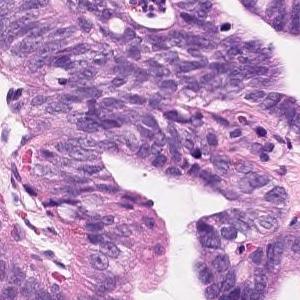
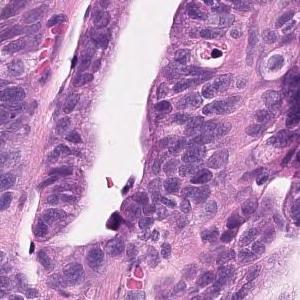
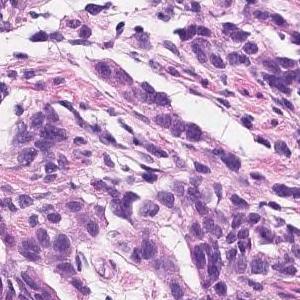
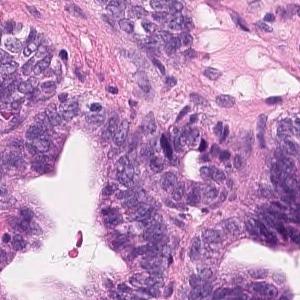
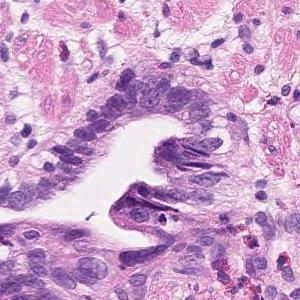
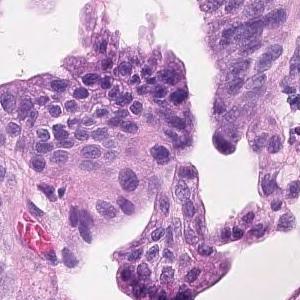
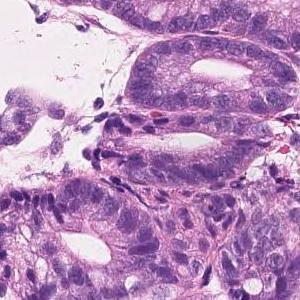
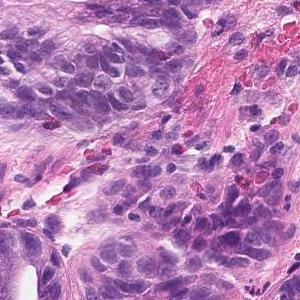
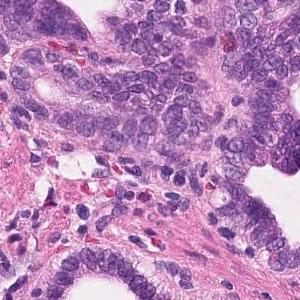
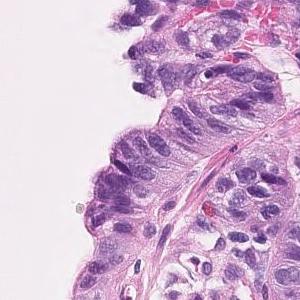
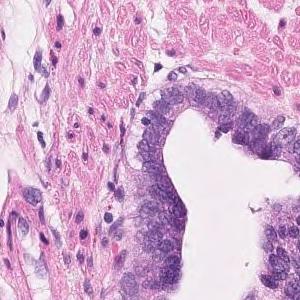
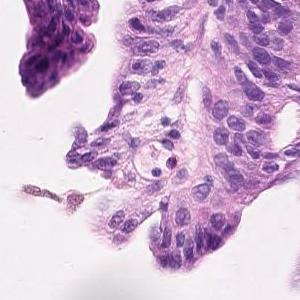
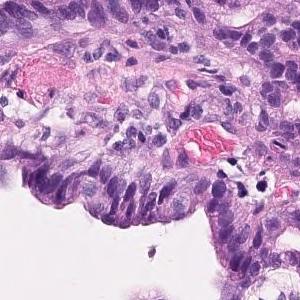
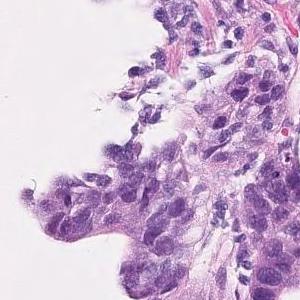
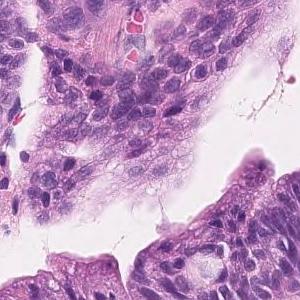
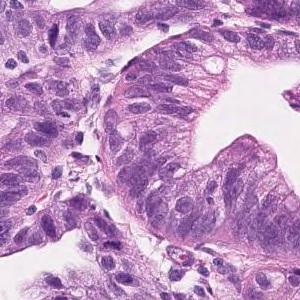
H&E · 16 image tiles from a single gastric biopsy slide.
Diagnostic report for the slide these tiles come from. The report and the diagnosis describe the slide as a whole, so these tiles may not show every feature named and may include non-tumor tissue.
Tumor cells are large, highly columnar, large club-shaped nuclei, and are associated with chromatin aggregation. Papillary adenocarcinoma.
